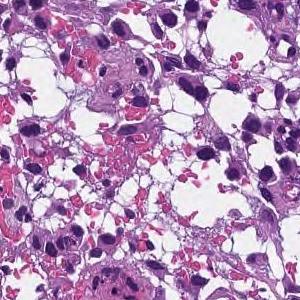
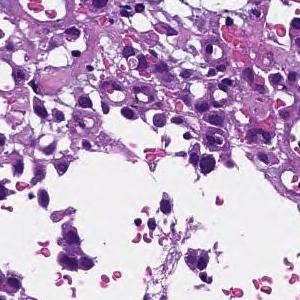
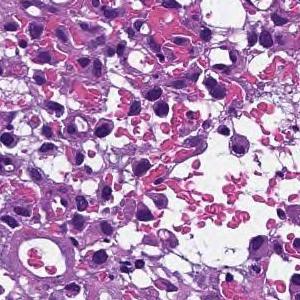
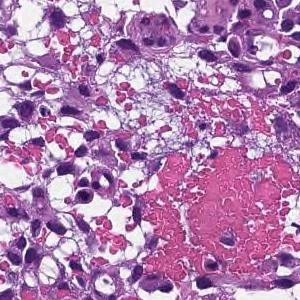
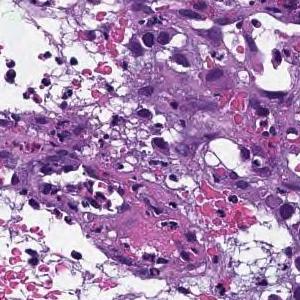
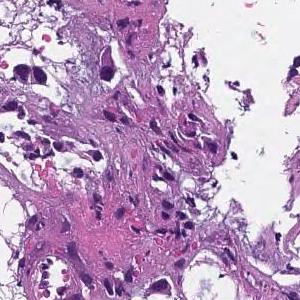
6 tiles from the same stomach biopsy slide, each 300 × 300 pixels, H&E stain.
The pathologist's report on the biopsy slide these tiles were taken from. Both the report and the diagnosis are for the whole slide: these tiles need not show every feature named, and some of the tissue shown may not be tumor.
Tumor tissue consisting of cord-like or small, irregular glandular ducts fused and infiltrated is observed in the superficial epithelium. Poorly differentiated adenocarcinoma, non-solid type
The term "non-solid type" comes from the Japanese Classification of Gastric Carcinoma.
